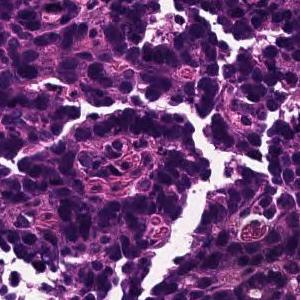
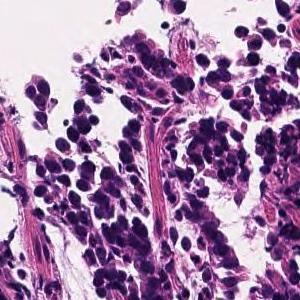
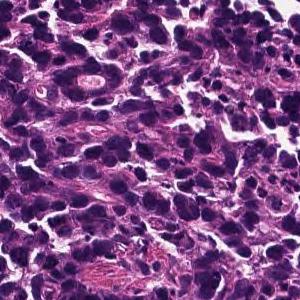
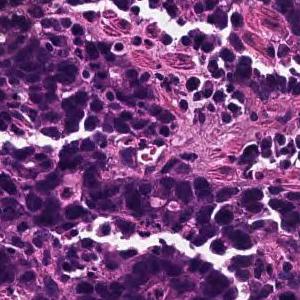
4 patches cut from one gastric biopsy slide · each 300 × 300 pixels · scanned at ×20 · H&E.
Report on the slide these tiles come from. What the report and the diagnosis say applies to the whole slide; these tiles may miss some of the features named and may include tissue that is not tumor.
Medium to small, irregular glandular ducts are formed in the superficial epithelium, and in some cases, the glandular ducts are fused to show solid alveolar lesions and infiltrating tumor tissue is observed. Moderately to poorly differentiated adenocarcinoma.
